×20, hematoxylin and eosin stain, 11 image tiles from a single gastric biopsy slide, 300 × 300 pixels each.
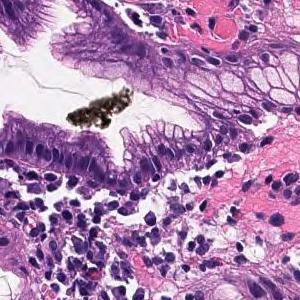
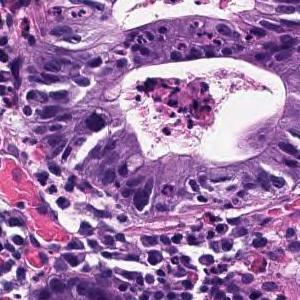
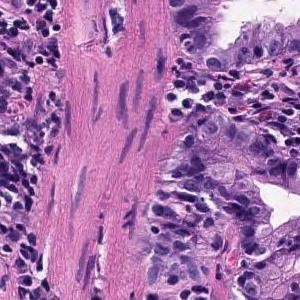
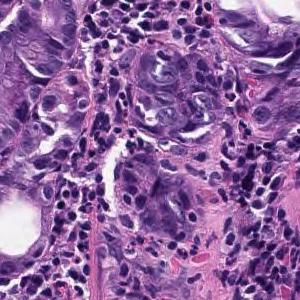
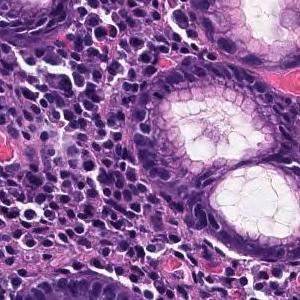
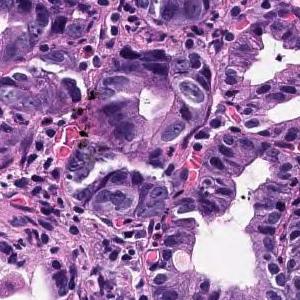
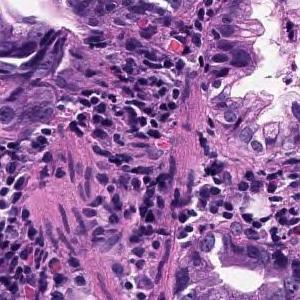
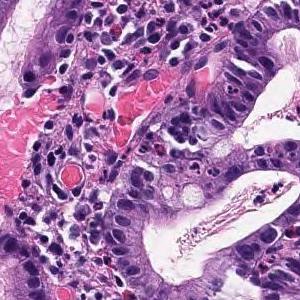
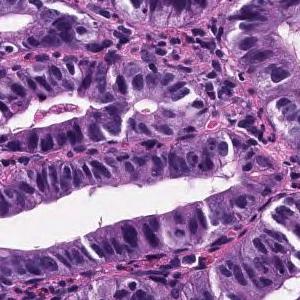
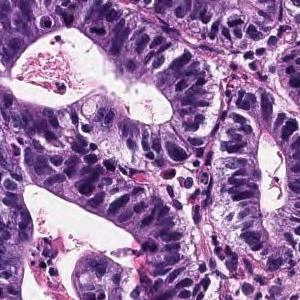
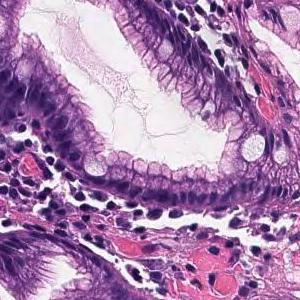
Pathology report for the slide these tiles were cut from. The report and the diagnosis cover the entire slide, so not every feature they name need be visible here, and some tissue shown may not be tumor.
Tumor tissue consisting of medium-sized and irregular ducts is observed infiltrating in the superficial epithelium. Tumor cells are highly columnar, with nuclei aligned basolaterally and polarized. Well differentiated tubular adenocarcinoma.
